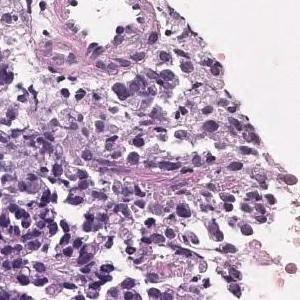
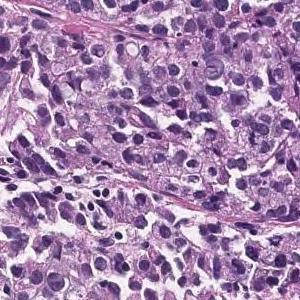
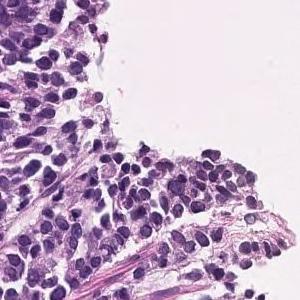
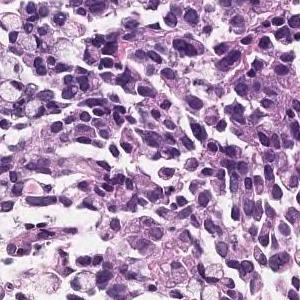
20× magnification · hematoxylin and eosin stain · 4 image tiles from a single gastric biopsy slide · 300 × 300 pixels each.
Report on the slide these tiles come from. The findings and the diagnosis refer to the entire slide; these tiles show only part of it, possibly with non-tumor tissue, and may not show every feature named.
The superficial epithelium shows a large sheet-like shape, and some tumor tissue infiltrates with small irregular ducts. Poorly differentiated adenocarcinoma, solid-type
Tumor subtype: poorly differentiated adenocarcinoma, solid type. This name comes from the Japanese Classification of Gastric Carcinoma; the WHO 2019 classification calls it tubular adenocarcinoma, poorly differentiated.
